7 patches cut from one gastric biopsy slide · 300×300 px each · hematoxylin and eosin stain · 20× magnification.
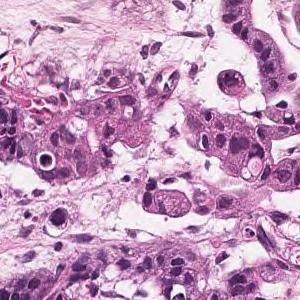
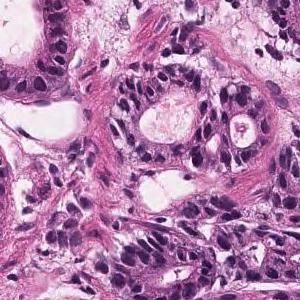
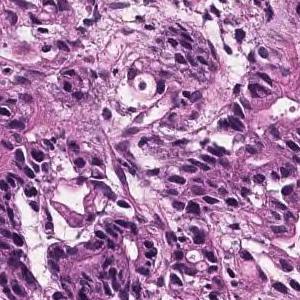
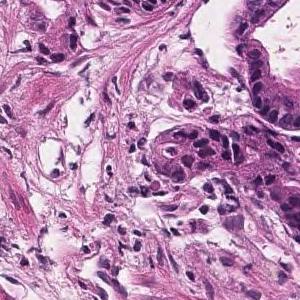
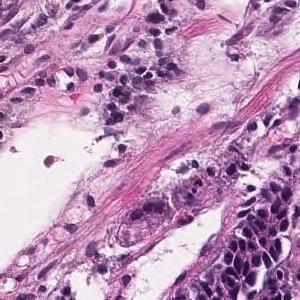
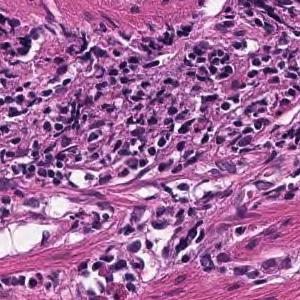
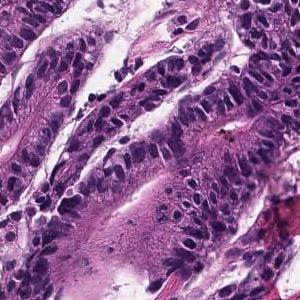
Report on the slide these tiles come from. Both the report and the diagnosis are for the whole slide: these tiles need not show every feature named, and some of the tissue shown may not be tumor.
Tumor tissue with atypical epithelium showing irregular ductal or sieving ductal structure and proliferating is observed. Well to moderately differentiated tubular adenocarcinoma (well differentiated tubular adenocarcinoma-moderately differentiated tubular adenocarcinoma)
Subtype: Well to moderately differentiated tubular adenocarcinoma.
